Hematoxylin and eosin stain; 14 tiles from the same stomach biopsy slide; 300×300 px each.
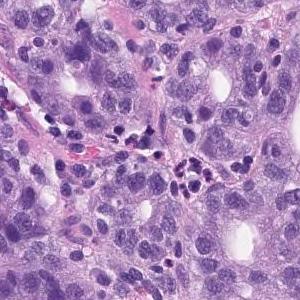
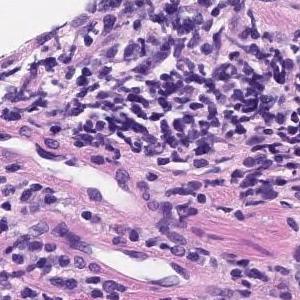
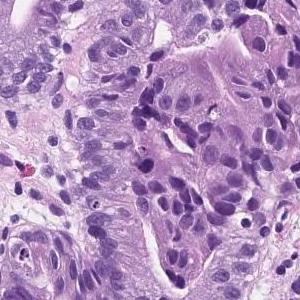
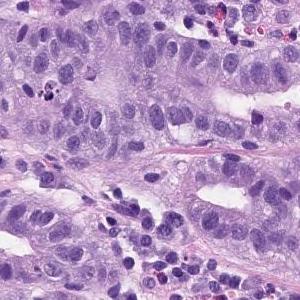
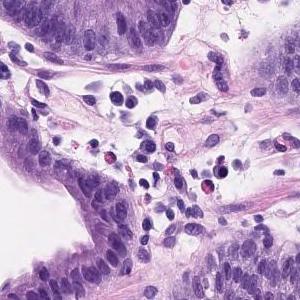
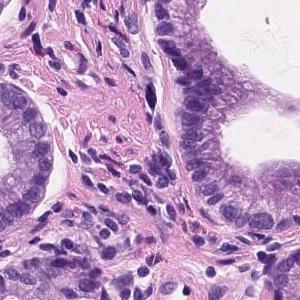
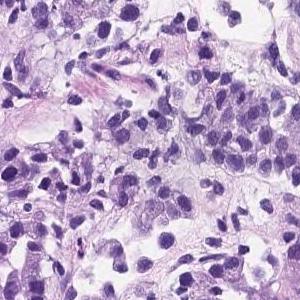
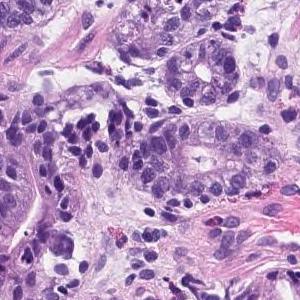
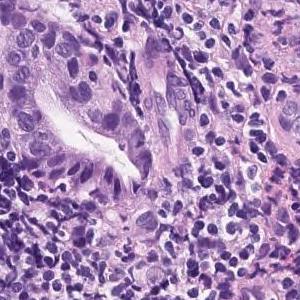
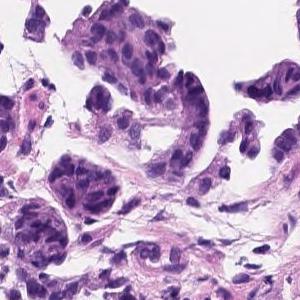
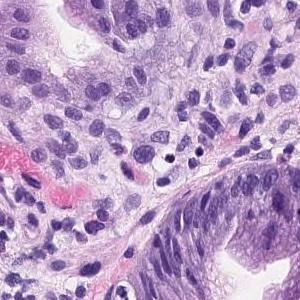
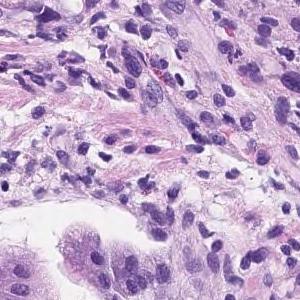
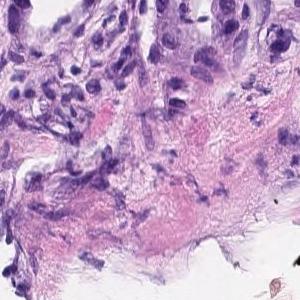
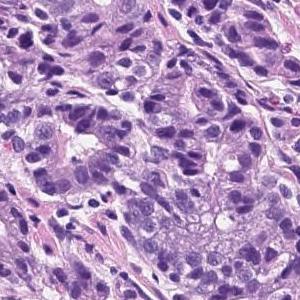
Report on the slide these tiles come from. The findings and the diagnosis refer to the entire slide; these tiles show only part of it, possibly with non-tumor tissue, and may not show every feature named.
Tumor tissue consisting of medium-sized and irregular ducts is observed infiltrating in the superficial epithelium. Tumor cells are highly columnar, with nuclei aligned basolaterally and polarized. Well differentiated tubular adenocarcinoma.
